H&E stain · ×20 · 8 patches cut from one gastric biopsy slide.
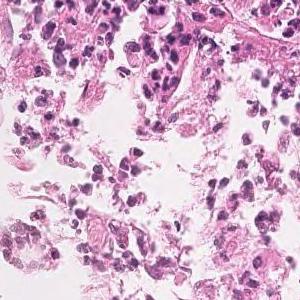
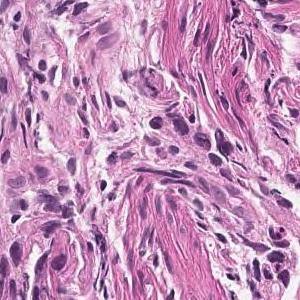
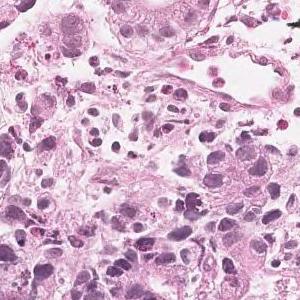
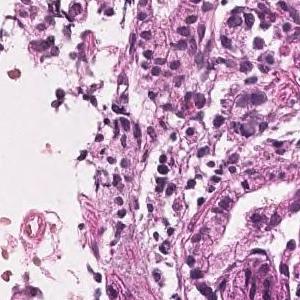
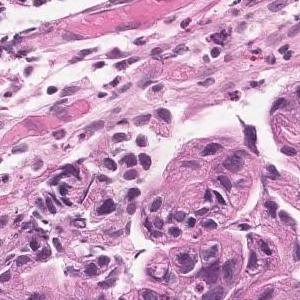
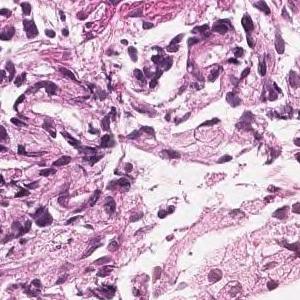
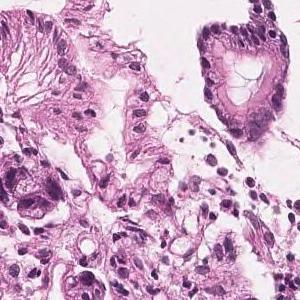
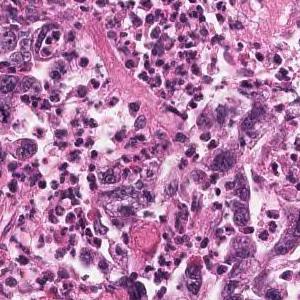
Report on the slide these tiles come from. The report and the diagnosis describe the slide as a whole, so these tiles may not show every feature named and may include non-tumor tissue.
In the superficial epithelium, medium to small irregular gland ducts are formed, and in some cases, the ducts are fused to show solid alveolar lesions and infiltrating tumor tissue is observed. Moderately to poorly differentiated adenocarcinoma
